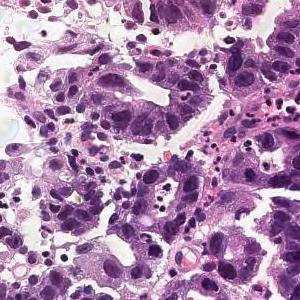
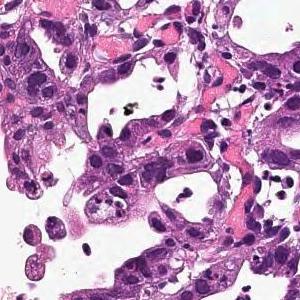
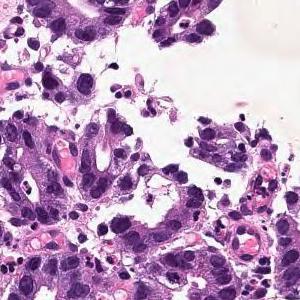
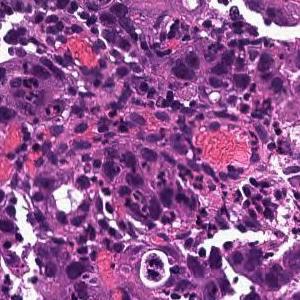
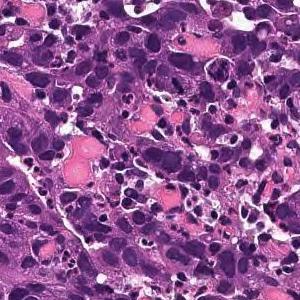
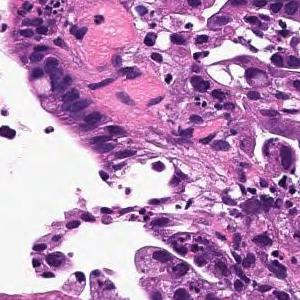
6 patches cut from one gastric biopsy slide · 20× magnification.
The pathologist's report on the biopsy slide these tiles were taken from. What the report and the diagnosis say applies to the whole slide; these tiles may miss some of the features named and may include tissue that is not tumor.
On the superficial epithelium, a tumor tissue consisting of a large, irregular glandular duct partially fused and infiltrating with a small alveolar shape is observed. Well or moderately differentiated tubular adenocarcinoma (well differentiated tubular adenocarcinoma, moderately differentiated tubular adenocarcinoma)
Histological subtype: Well to moderately differentiated tubular adenocarcinoma.
